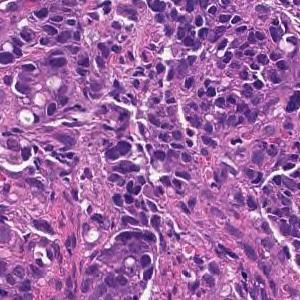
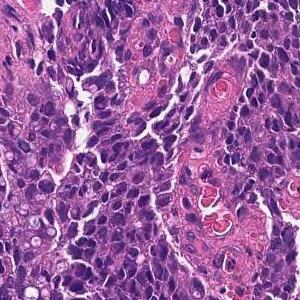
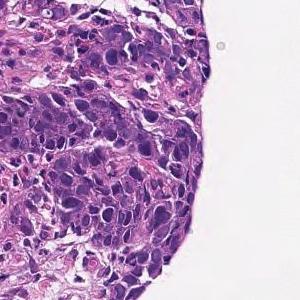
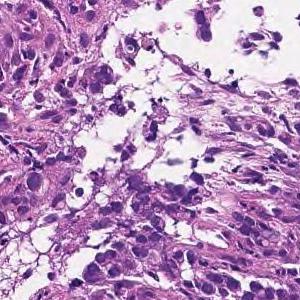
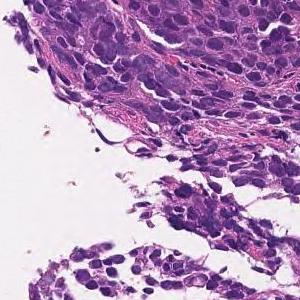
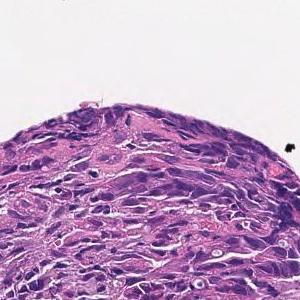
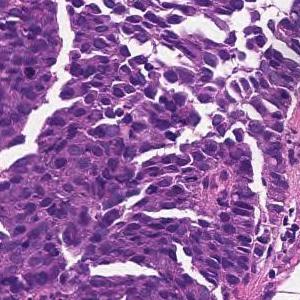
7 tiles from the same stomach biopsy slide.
Pathology report for the biopsy slide these tiles were cut from. What the report and the diagnosis say applies to the whole slide; these tiles may miss some of the features named and may include tissue that is not tumor.
Tumor tissue consisting of cord-like or small, irregular glandular ducts fused and infiltrated is observed in the superficial epithelium. Poorly differentiated adenocarcinoma, non-solid type
"Non-solid type" is a category of the Japanese Classification of Gastric Carcinoma.
